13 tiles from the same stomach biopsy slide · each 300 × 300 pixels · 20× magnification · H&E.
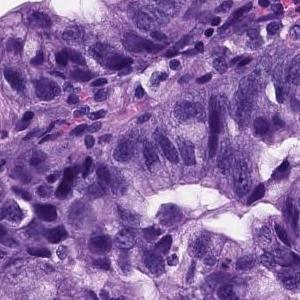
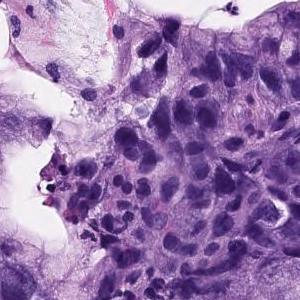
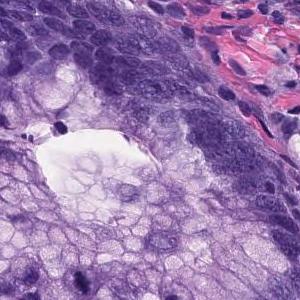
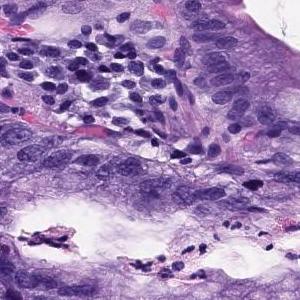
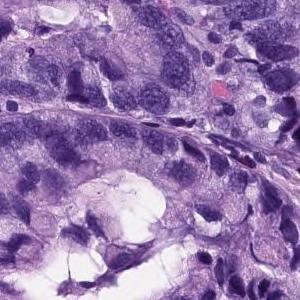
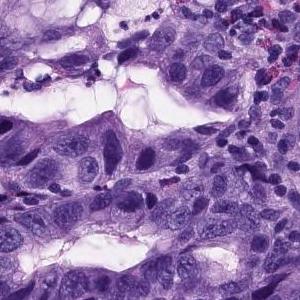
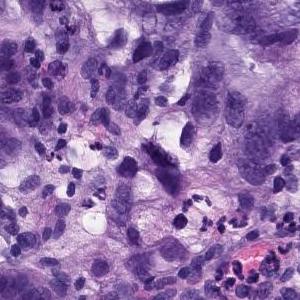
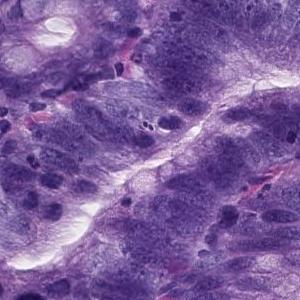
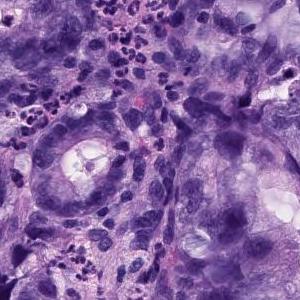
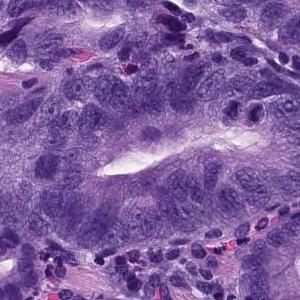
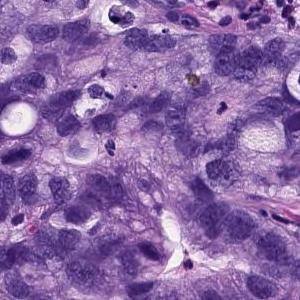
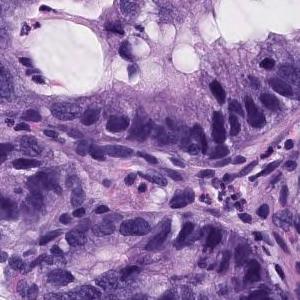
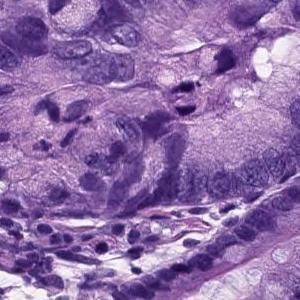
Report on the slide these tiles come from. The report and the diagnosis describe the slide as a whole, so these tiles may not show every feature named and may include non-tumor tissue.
There are large atypical epithelial cells infiltrating and proliferating while forming atypical glandular cavities showing a fusion tendency. Moderately differentiated tubular adenocarcinoma.
